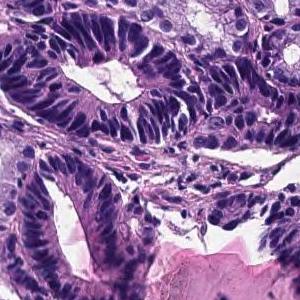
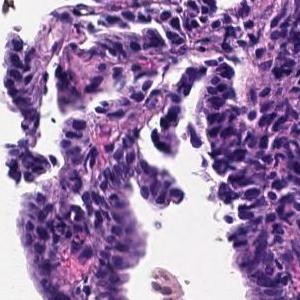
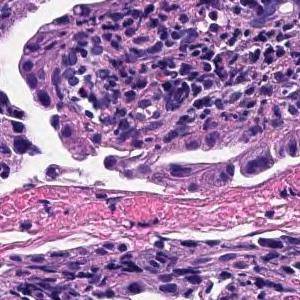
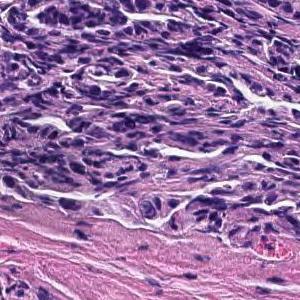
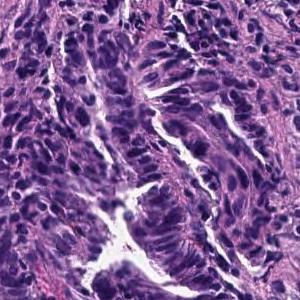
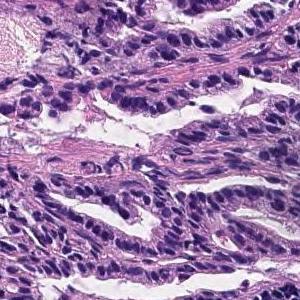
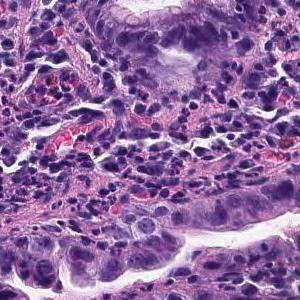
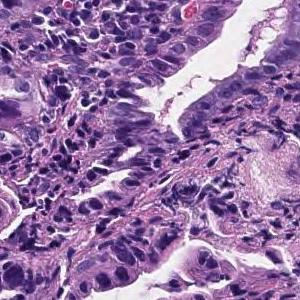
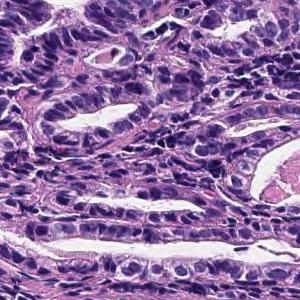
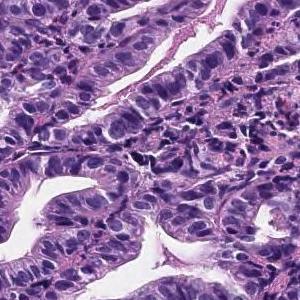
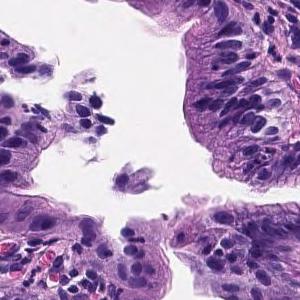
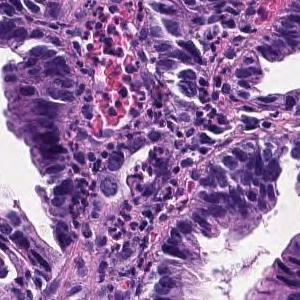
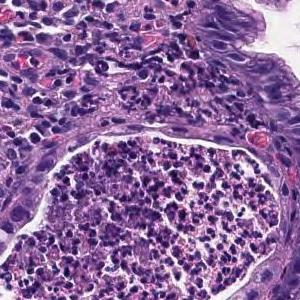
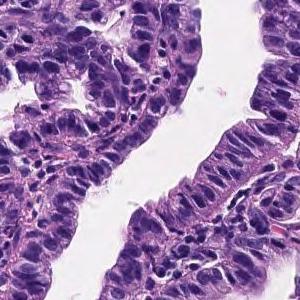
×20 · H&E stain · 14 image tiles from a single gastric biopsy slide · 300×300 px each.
Pathology report for the biopsy slide these tiles were cut from. The report describes the whole slide, diagnosis included: not every finding it names need appear in these tiles, which may also show non-tumor tissue.
The superficial tumors shows large papillary structures or large and small ducts and infiltrates. Papillary adenocarcinoma.
